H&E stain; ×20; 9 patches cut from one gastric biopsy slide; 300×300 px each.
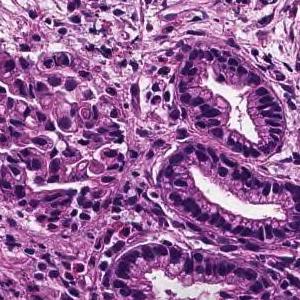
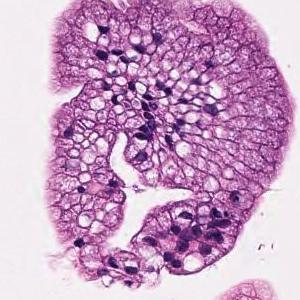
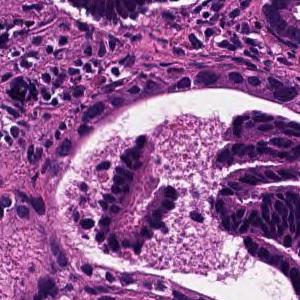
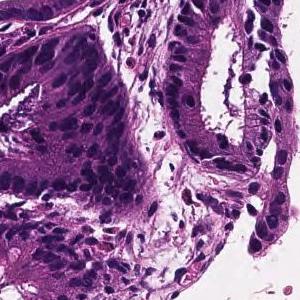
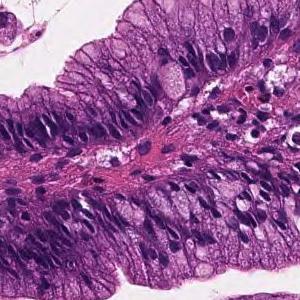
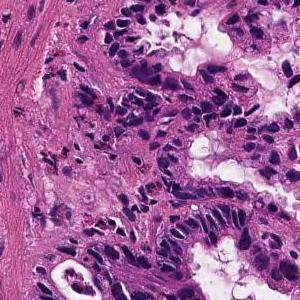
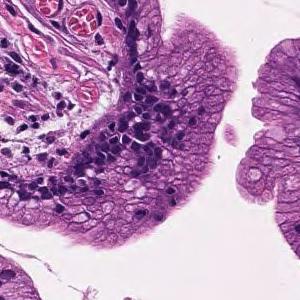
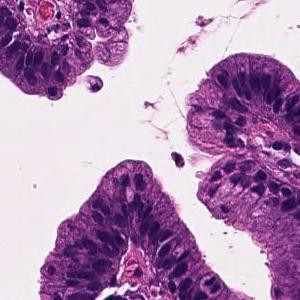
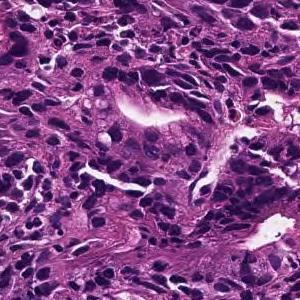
Pathology report for the biopsy slide these tiles were cut from. Both the report and the diagnosis are for the whole slide: these tiles need not show every feature named, and some of the tissue shown may not be tumor.
On the superficial epithelium, tumor tissue consisting of medium-sized and irregular glandular ducts partially fused and infiltrated is observed. Well to moderately differentiated tubular adenocarcinoma (well differentiated tubular adenocarcinoma-moderately differentiated tubular adenocarcinoma)
Tumor subtype: well to moderately differentiated tubular adenocarcinoma.
